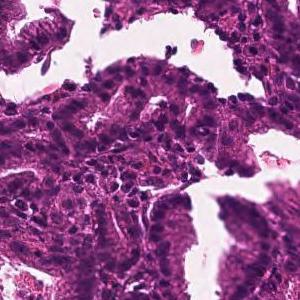
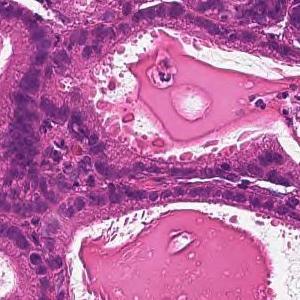
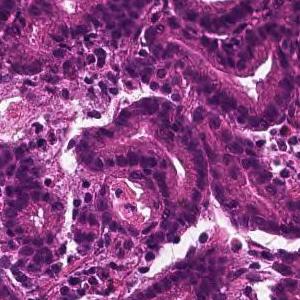
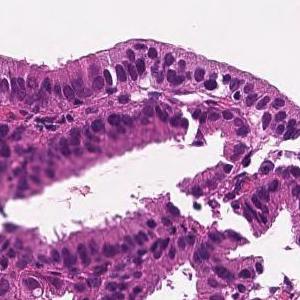
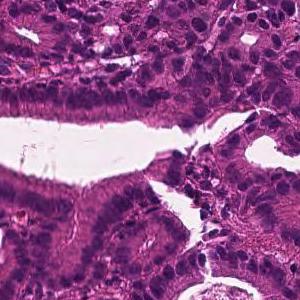
5 image tiles from a single gastric biopsy slide, 300 × 300 pixels each, H&E stain.
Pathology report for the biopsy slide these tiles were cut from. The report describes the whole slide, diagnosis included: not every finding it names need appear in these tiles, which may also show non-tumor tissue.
From the superficial epithelium to the muscularis mucosae, tumor tissue consisting of medium-sized and irregular glandular ducts infiltrating is observed. Well differentiated tubular adenocarcinoma
